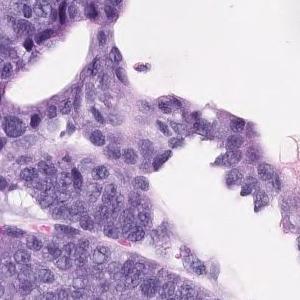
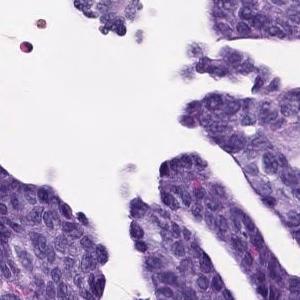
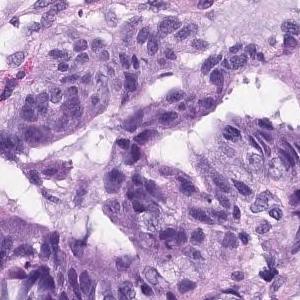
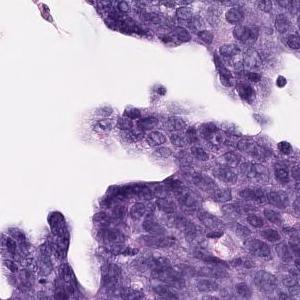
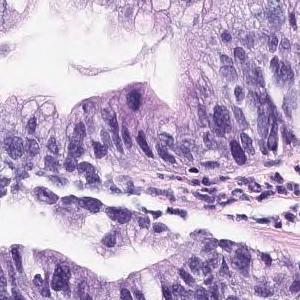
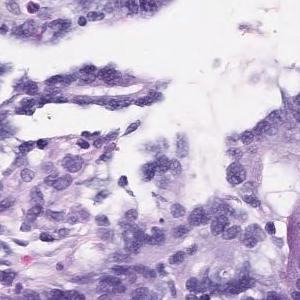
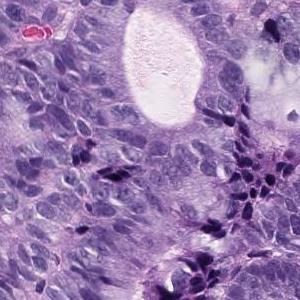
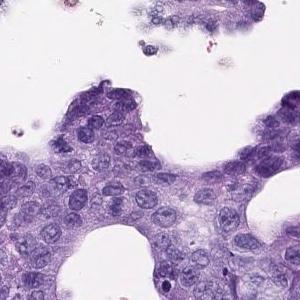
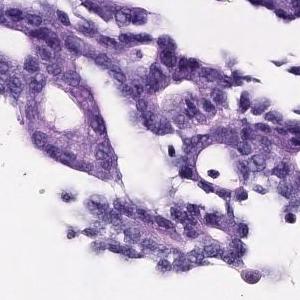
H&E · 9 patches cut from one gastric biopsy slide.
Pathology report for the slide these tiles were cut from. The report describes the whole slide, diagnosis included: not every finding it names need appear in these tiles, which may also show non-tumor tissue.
In the superficial epithelium, tumor tissue that invades by forming medium-sized to small, irregular ducts is observed. Well to moderately differentiated tubular adenocarcinoma.
